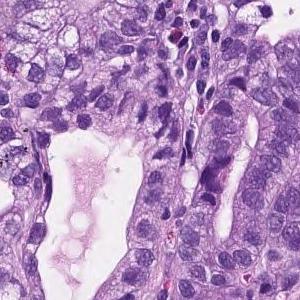
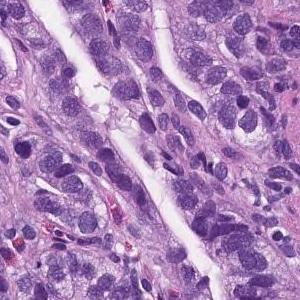
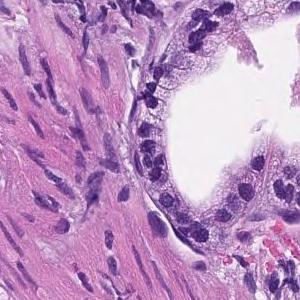
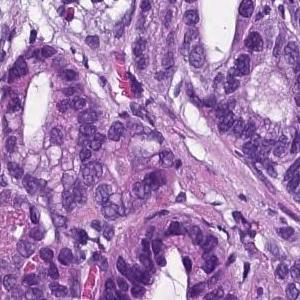
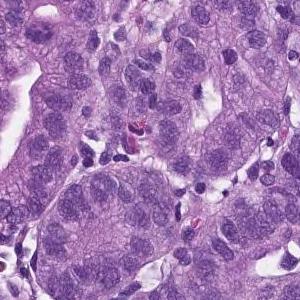
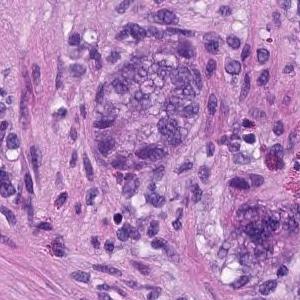
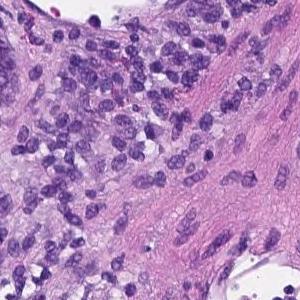
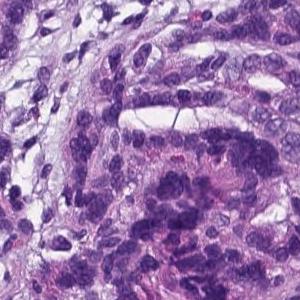
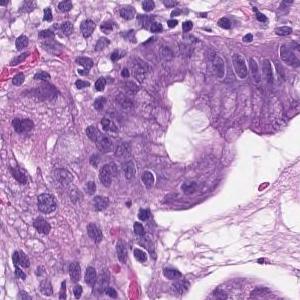
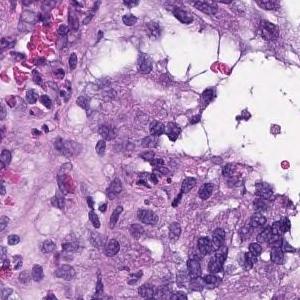
10 patches cut from one gastric biopsy slide, ×20, hematoxylin and eosin stain.
The pathologist's report on the biopsy slide these tiles were taken from. What the report and the diagnosis say applies to the whole slide; these tiles may miss some of the features named and may include tissue that is not tumor.
From the superficial epithelium to the muscularis mucosae, tumor tissue consisting of medium-sized and irregular glandular ducts infiltrating is observed. Well differentiated tubular adenocarcinoma
